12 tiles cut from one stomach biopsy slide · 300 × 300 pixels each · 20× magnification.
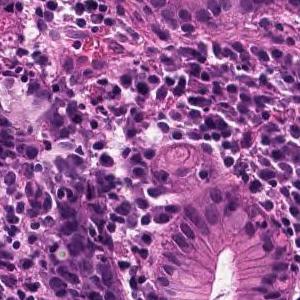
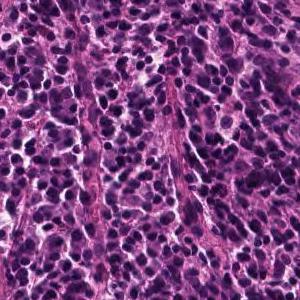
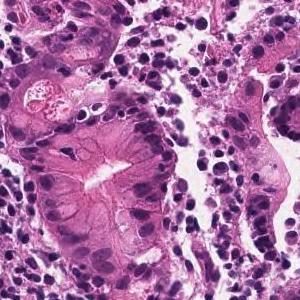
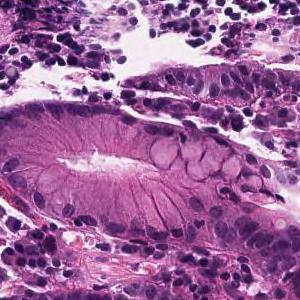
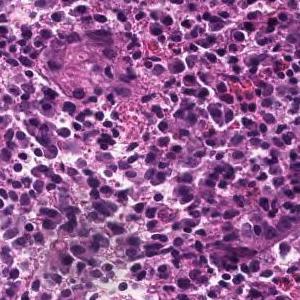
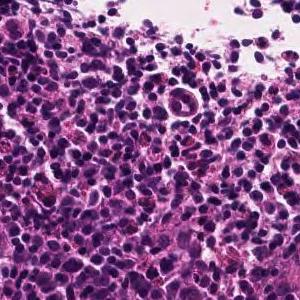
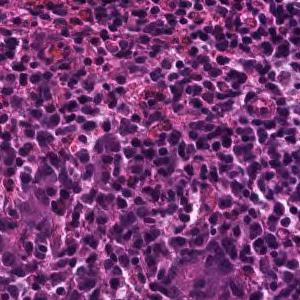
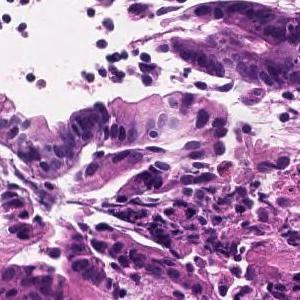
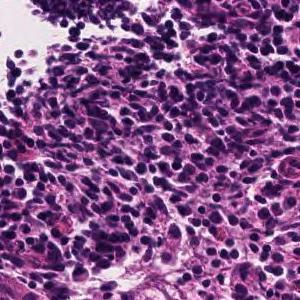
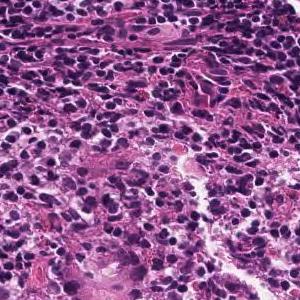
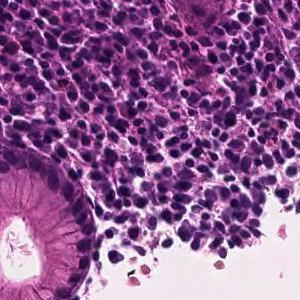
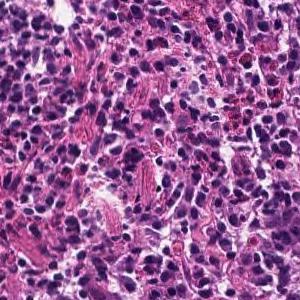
Pathology report for the slide these tiles were cut from. What the report and the diagnosis say applies to the whole slide; these tiles may miss some of the features named and may include tissue that is not tumor.
Tumor tissue consisting of medium-sized, cord-like or irregular glandular infiltration is observed in the superficial epithelium. Poorly differentiated adenocarcinoma, non-solid type or moderately differentiated tubular adenocarcinoma
The dataset labels this slide poorly differentiated adenocarcinoma, non-solid type.
The term "non-solid type" comes from the Japanese Classification of Gastric Carcinoma.
